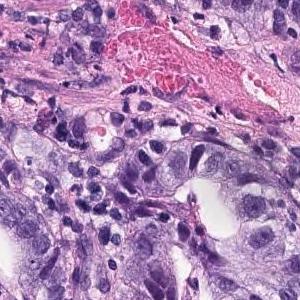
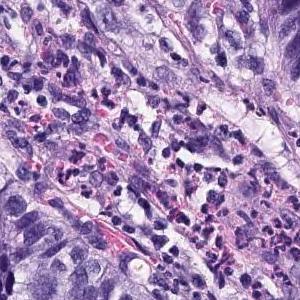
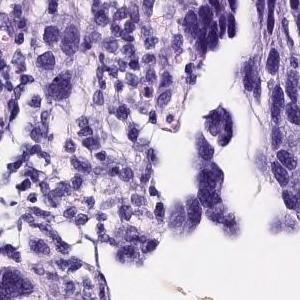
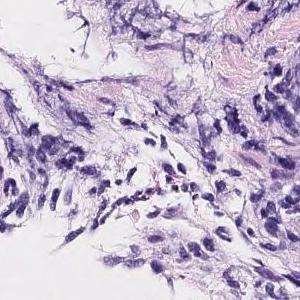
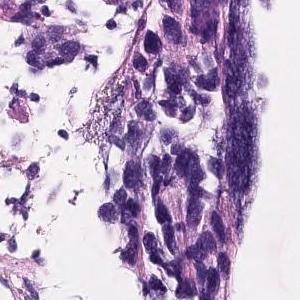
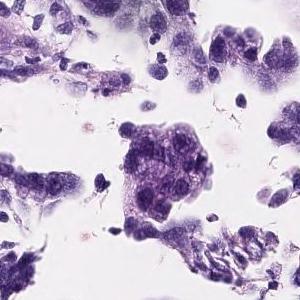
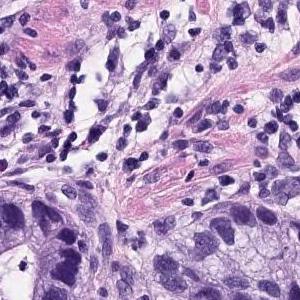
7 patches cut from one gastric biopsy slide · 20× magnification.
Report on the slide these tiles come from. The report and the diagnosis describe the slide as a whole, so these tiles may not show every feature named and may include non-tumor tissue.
On the superficial epithelium, tumor tissue consisting of medium to small irregular tubules partially fused and proliferated is observed. moderately differentiated tubular adenocarcinoma
